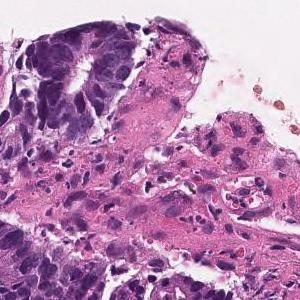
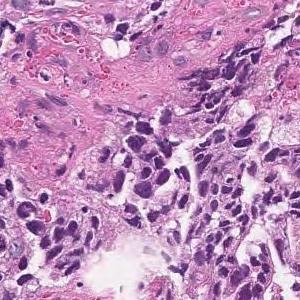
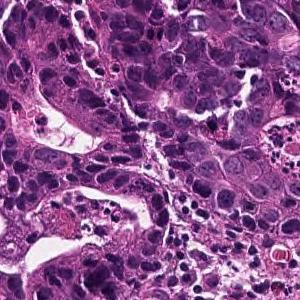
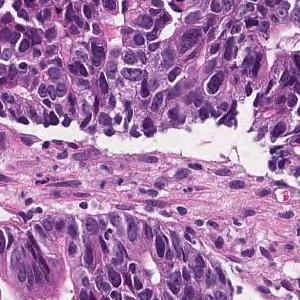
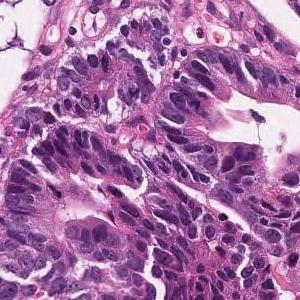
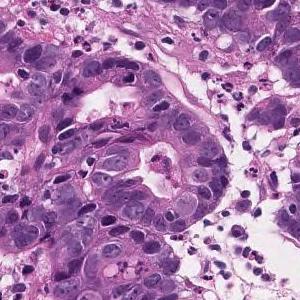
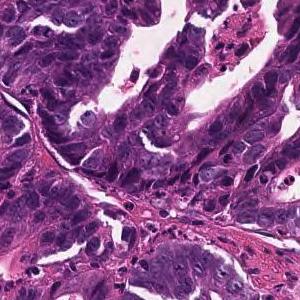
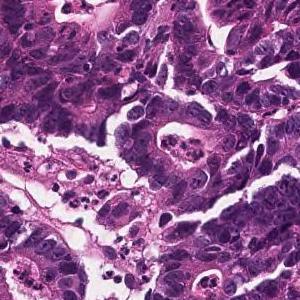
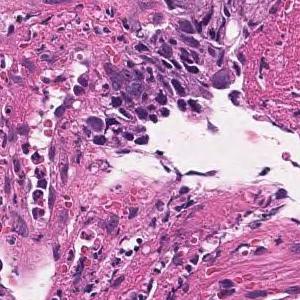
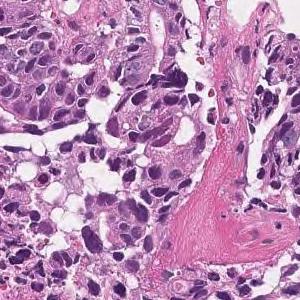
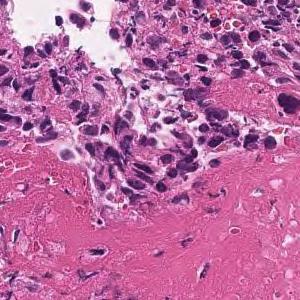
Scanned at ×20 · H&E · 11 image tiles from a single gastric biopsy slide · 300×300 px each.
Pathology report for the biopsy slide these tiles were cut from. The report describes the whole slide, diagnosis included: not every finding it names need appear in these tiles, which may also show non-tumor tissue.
In the superficial epithelium, tumor tissue that invades by forming medium-sized to small, irregular ducts is observed. moderately differentiated tubular adenocarcinoma.
